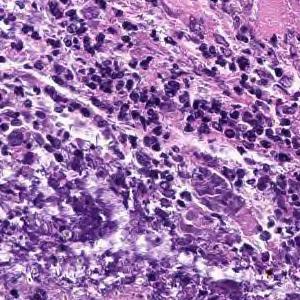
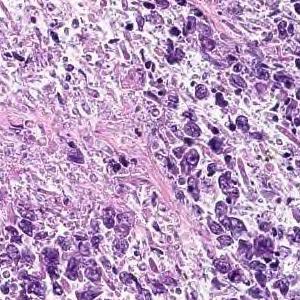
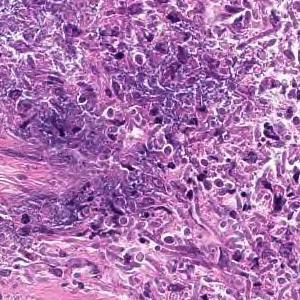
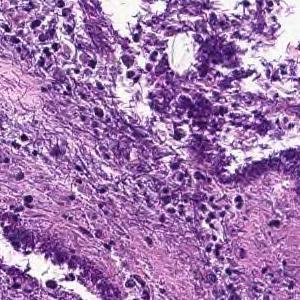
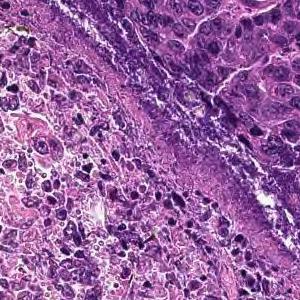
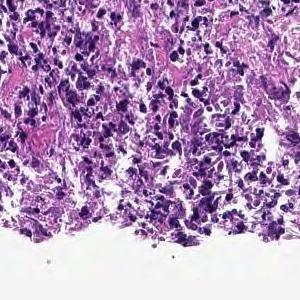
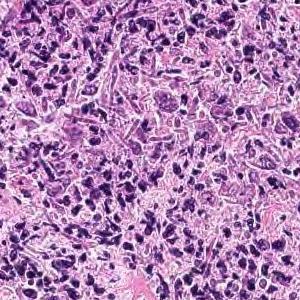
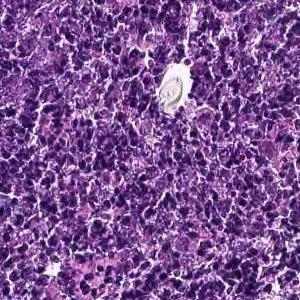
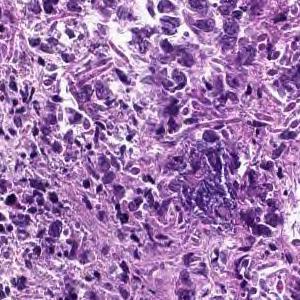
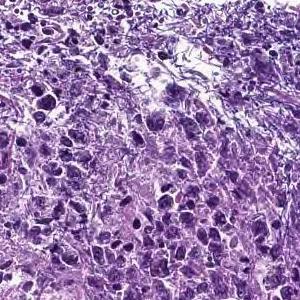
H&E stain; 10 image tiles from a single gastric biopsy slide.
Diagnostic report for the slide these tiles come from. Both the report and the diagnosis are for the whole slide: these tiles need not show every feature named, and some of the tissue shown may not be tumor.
Cancers with polygonal nuclei do not show glandular formation and are densely, in part, cord-like and proliferate. Poorly differentiated adenocarcinoma
Histological subtype: Poorly differentiated adenocarcinoma, non-solid type.
The non-solid type named here is a Japanese Classification of Gastric Carcinoma category.
